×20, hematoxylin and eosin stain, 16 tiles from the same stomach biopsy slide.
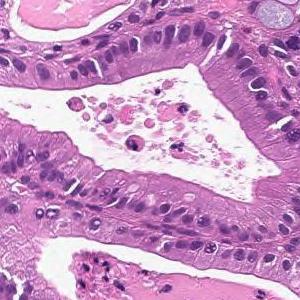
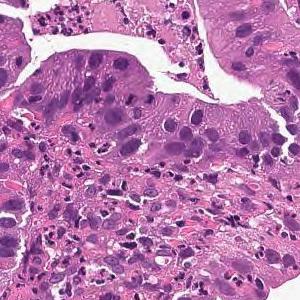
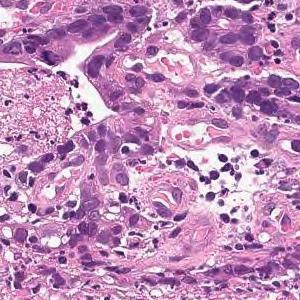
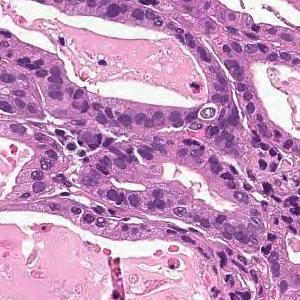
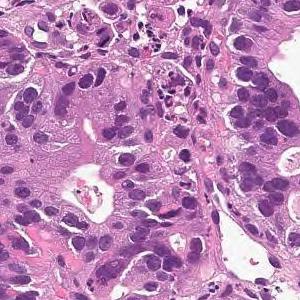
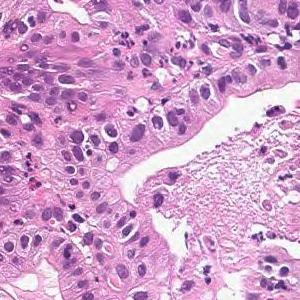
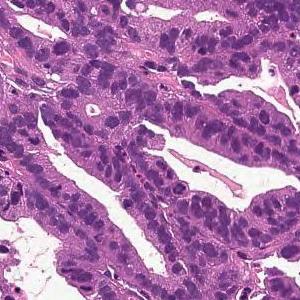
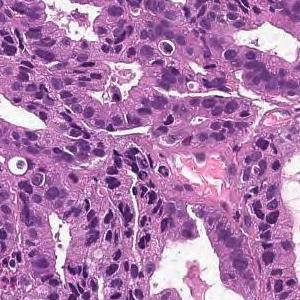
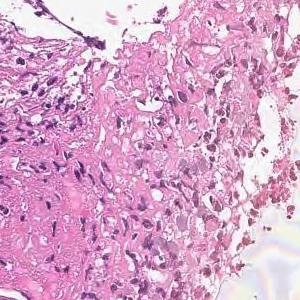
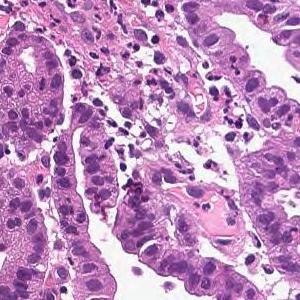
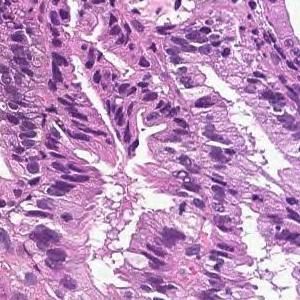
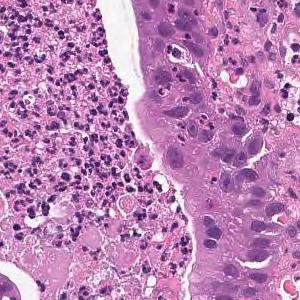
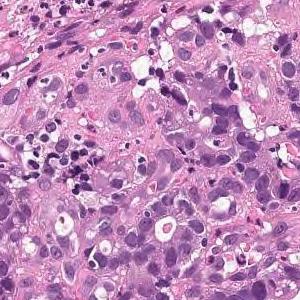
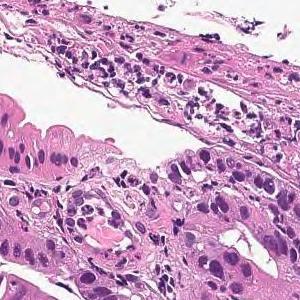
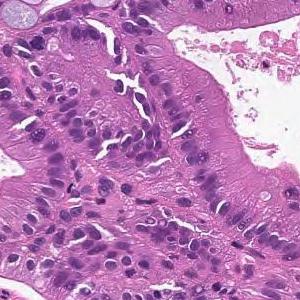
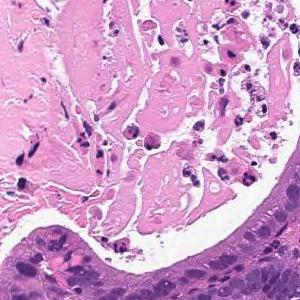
Pathology report for the biopsy slide these tiles were cut from. Both the report and the diagnosis are for the whole slide: these tiles need not show every feature named, and some of the tissue shown may not be tumor.
From the superficial epithelium to the muscularis mucosae, tumor tissue consisting of medium-sized and irregular glandular ducts infiltrating is observed. Well differentiated tubular adenocarcinoma
